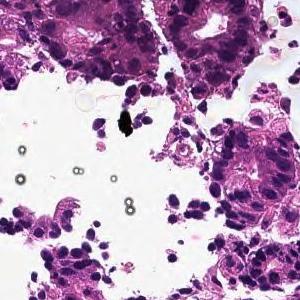
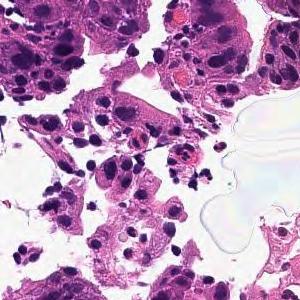
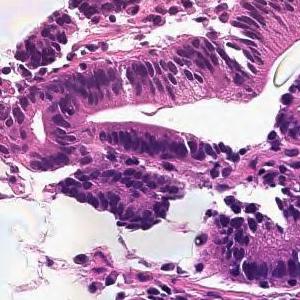
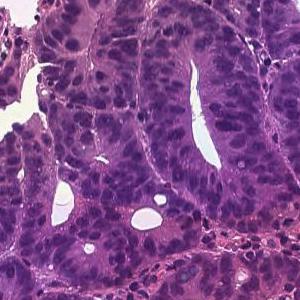
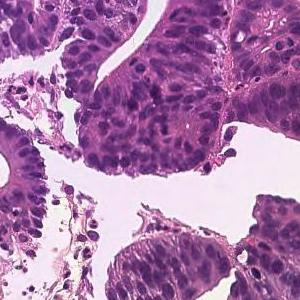
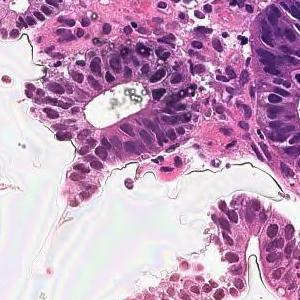
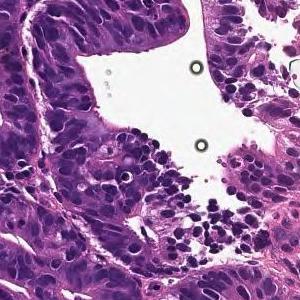
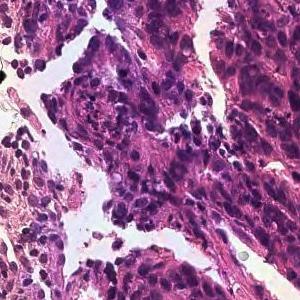
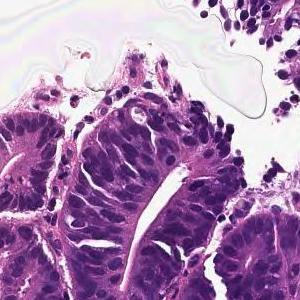
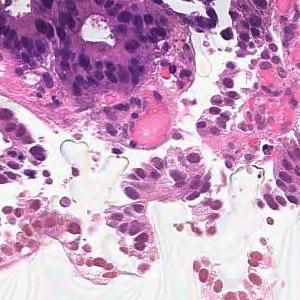
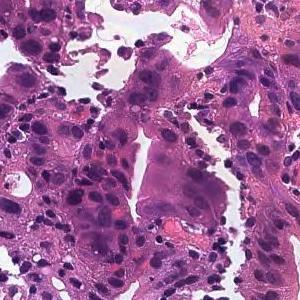
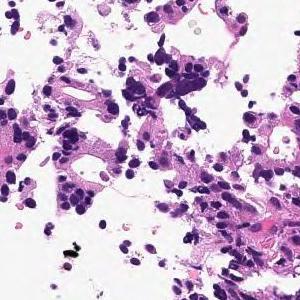
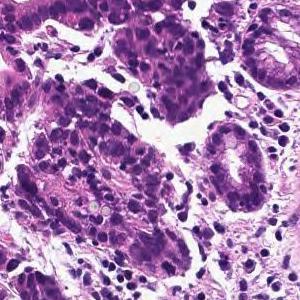
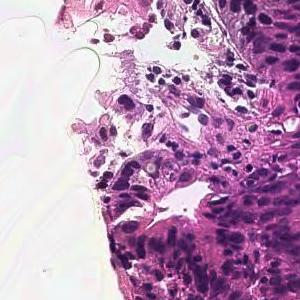
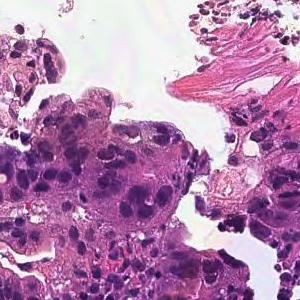
Hematoxylin and eosin stain, ×20, 15 image tiles from a single gastric biopsy slide, each 300 × 300 pixels.
Diagnostic report for the slide these tiles come from. The report describes the whole slide, diagnosis included: not every finding it names need appear in these tiles, which may also show non-tumor tissue.
On the superficial epithelium, tumor tissue consisting of large irregular glandular ducts partially fused and infiltrated is observed. Well to moderately differentiated tubular adenocarcinoma (well differentiated tubular adenocarcinoma, moderately differentiated tubular adenocarcinoma)
Tumor subtype: well to moderately differentiated tubular adenocarcinoma.
